Scanned at ×20, 6 image tiles from a single gastric biopsy slide, 300 × 300 pixels each.
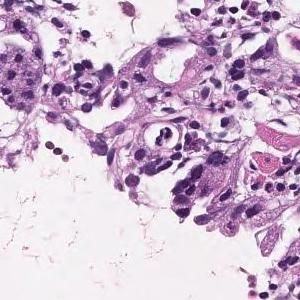
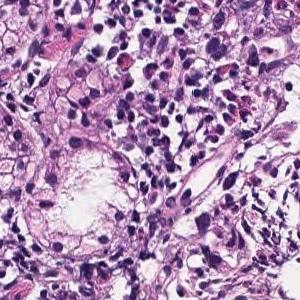
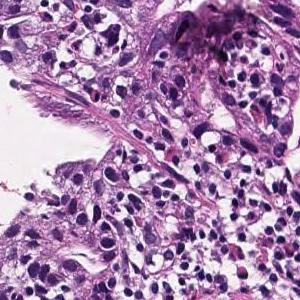
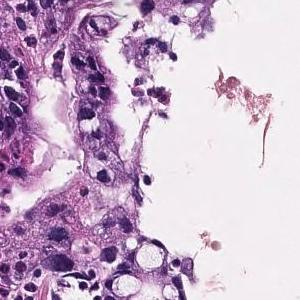
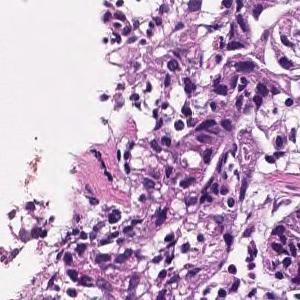
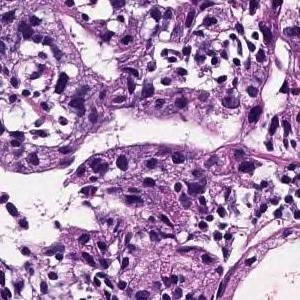
Pathology report for the slide these tiles were cut from. The report and the diagnosis describe the slide as a whole, so these tiles may not show every feature named and may include non-tumor tissue.
In the superficial epithelium, tumor tissue that invades by forming medium-sized to small, irregular ducts is observed. moderately differentiated tubular adenocarcinoma.
